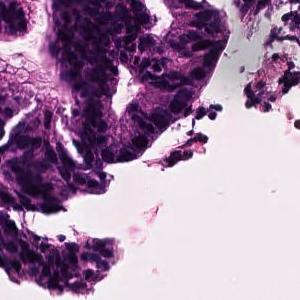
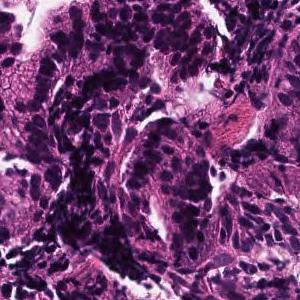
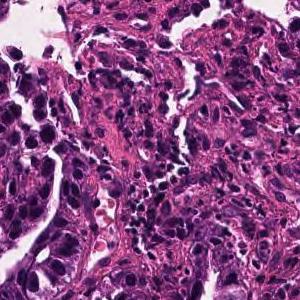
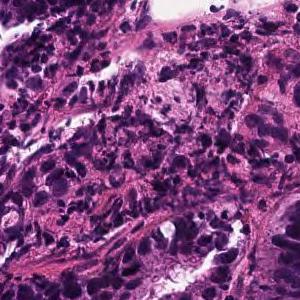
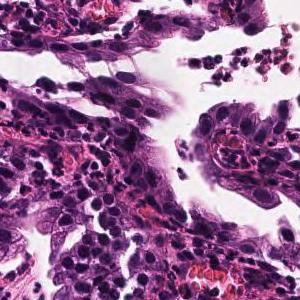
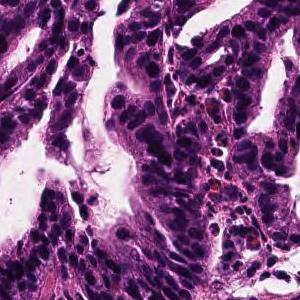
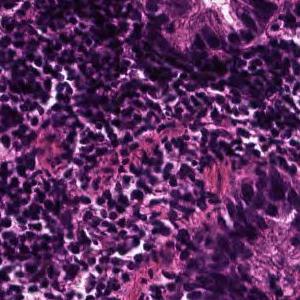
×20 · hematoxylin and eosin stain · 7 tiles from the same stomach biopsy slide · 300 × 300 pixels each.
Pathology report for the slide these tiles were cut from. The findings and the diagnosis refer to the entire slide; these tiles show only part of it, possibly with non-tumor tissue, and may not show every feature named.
Tumor tissue consisting of large papillary structures is found in the superficial epithelium. Papillary adenocarcinoma.
